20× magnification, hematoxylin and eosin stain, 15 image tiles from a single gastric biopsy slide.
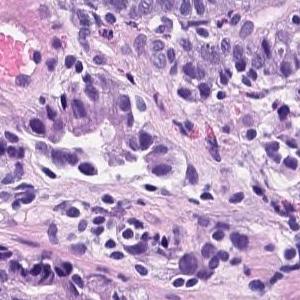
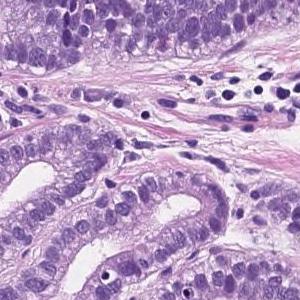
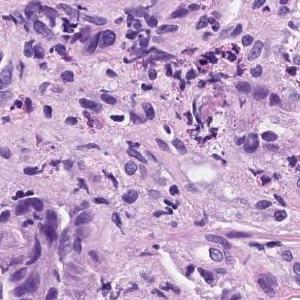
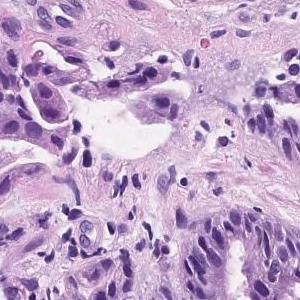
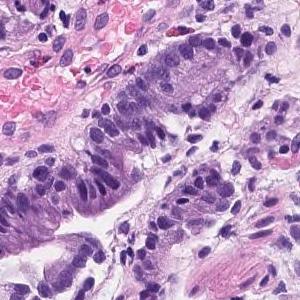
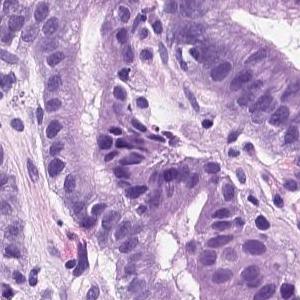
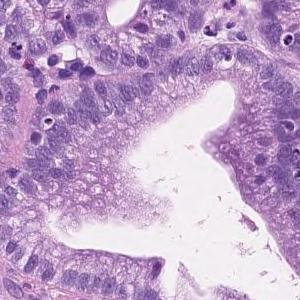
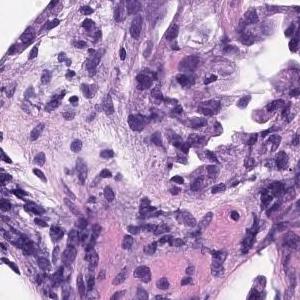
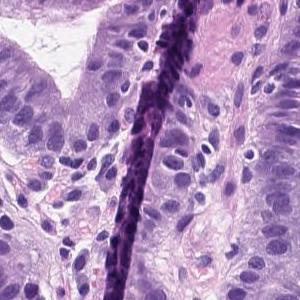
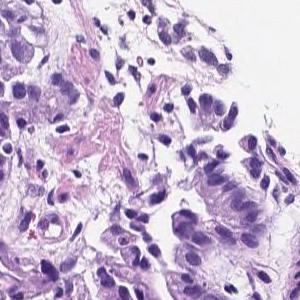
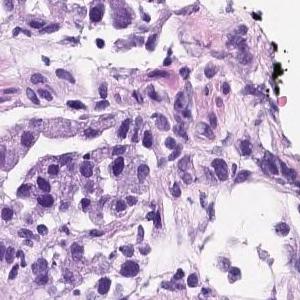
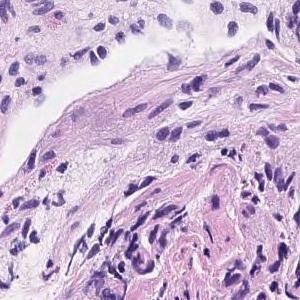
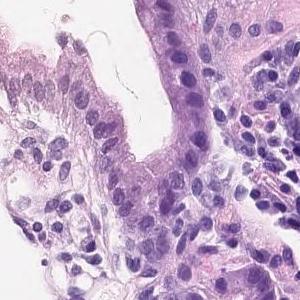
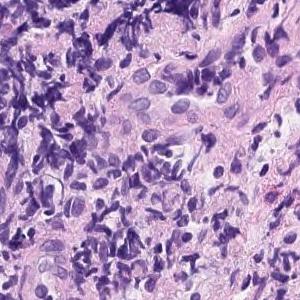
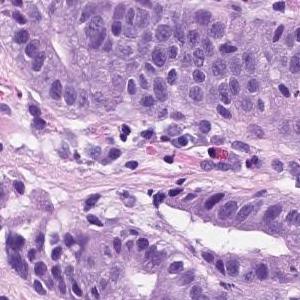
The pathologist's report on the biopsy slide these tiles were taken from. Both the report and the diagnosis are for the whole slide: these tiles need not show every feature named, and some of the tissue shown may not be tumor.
Tumor tissue consisting of medium-sized and irregular ducts is observed infiltrating in the superficial epithelium. Tumor cells are highly columnar, with nuclei aligned basolaterally and polarized. Well differentiated tubular adenocarcinoma.
